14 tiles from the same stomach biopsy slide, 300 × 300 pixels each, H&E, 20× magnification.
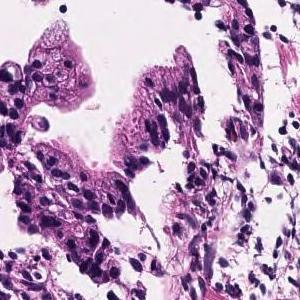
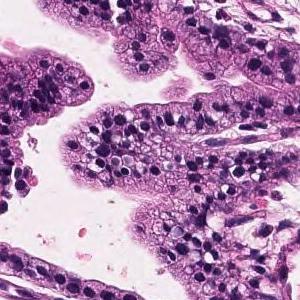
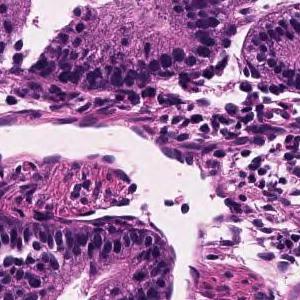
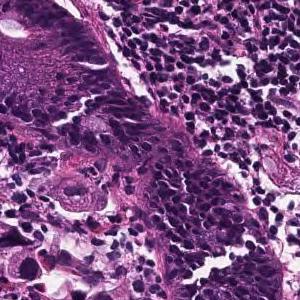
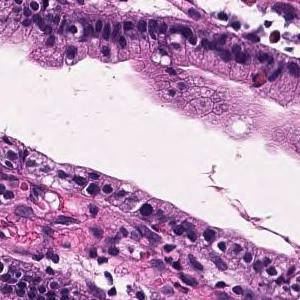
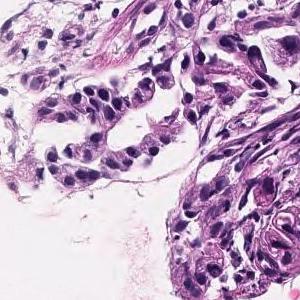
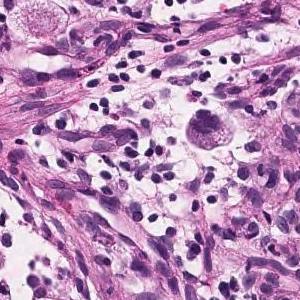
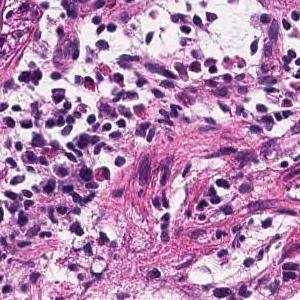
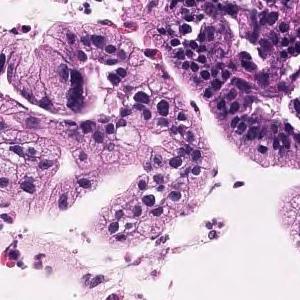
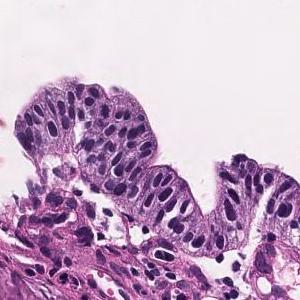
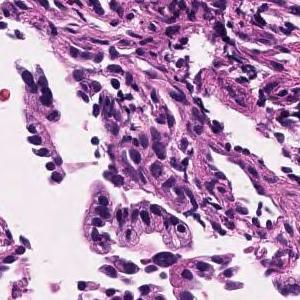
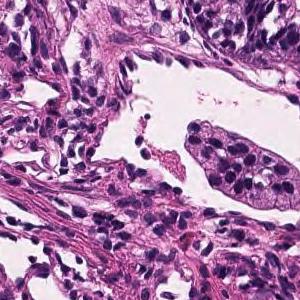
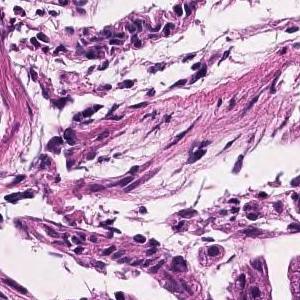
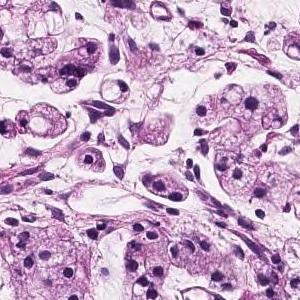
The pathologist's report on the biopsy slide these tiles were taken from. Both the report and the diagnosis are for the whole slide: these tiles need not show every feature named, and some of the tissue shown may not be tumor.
Tumor tissue consisting of large papillary structures or irregular glandular ducts partially fused and infiltrated is observed in the superficial epithelium. Well to moderately differentiated tubular adenocarcinoma.
Dataset label: moderately differentiated tubular adenocarcinoma.
